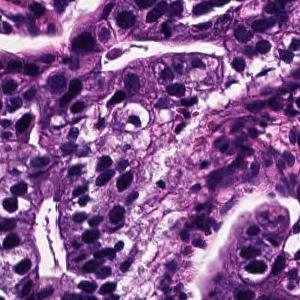
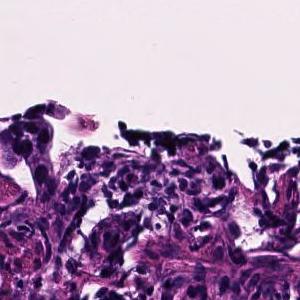
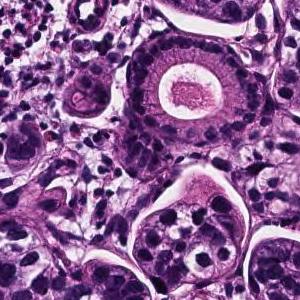
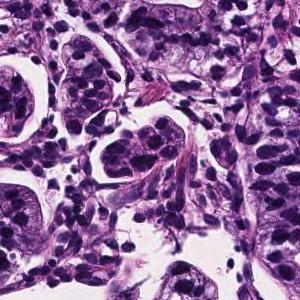
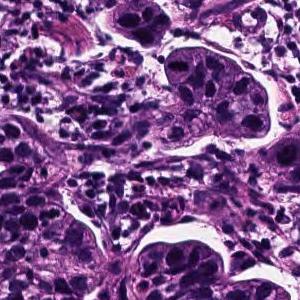
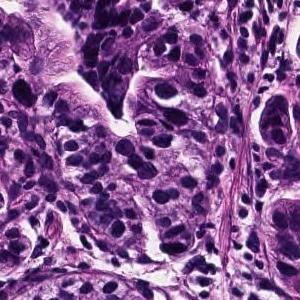
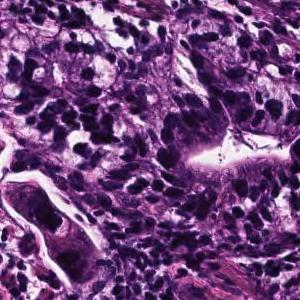
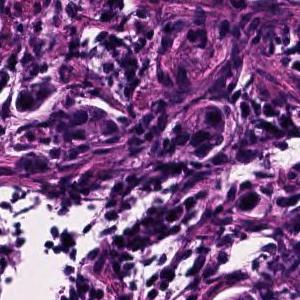
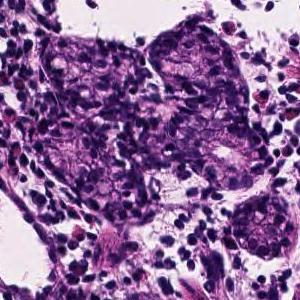
9 patches cut from one gastric biopsy slide; 300 × 300 pixels each; scanned at ×20; H&E stain.
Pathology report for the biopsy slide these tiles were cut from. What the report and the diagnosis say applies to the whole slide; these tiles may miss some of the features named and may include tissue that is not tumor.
Tumor tissue consisting of cord-like or small, irregular glandular ducts fused and infiltrated is observed in the superficial epithelium. Poorly differentiated adenocarcinoma, non-solid type
The term "non-solid type" comes from the Japanese Classification of Gastric Carcinoma.
